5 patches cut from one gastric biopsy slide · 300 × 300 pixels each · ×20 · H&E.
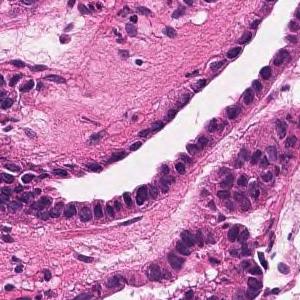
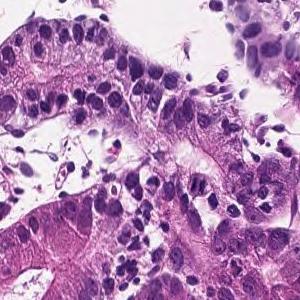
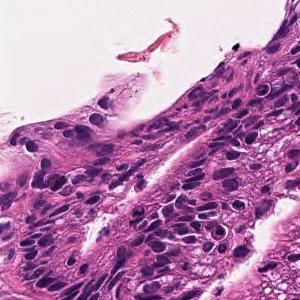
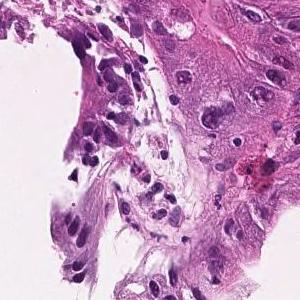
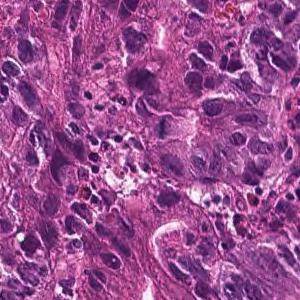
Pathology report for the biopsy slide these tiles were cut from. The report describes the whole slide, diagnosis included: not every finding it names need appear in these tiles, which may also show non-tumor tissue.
In the superficial epithelium, tumor tissue that invades by forming medium-sized to small, irregular ducts is observed. moderately differentiated tubular adenocarcinoma.
